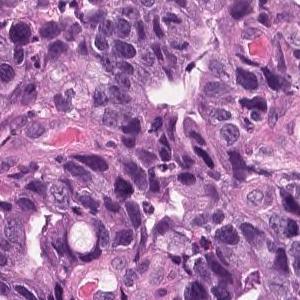
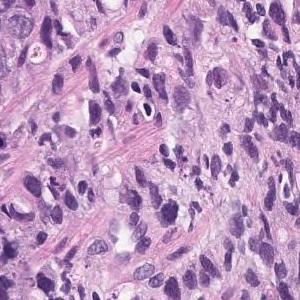
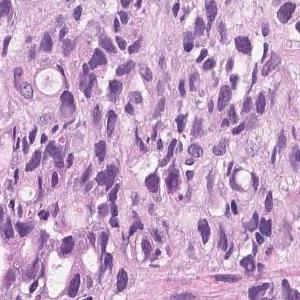
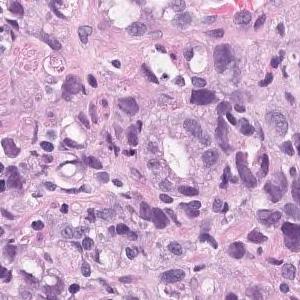
4 tiles cut from one stomach biopsy slide · each 300 × 300 pixels · ×20 · H&E.
Pathology report for the slide these tiles were cut from. The report and the diagnosis describe the slide as a whole, so these tiles may not show every feature named and may include non-tumor tissue.
Tumor tissue consisting of medium-sized, cord-like or irregular glandular infiltration is observed in the superficial epithelium. Poorly differentiated adenocarcinoma, non-solid type or moderately differentiated tubular adenocarcinoma
Labeled in the dataset as poorly differentiated adenocarcinoma, non-solid type.
The term "non-solid type" comes from the Japanese Classification of Gastric Carcinoma.
